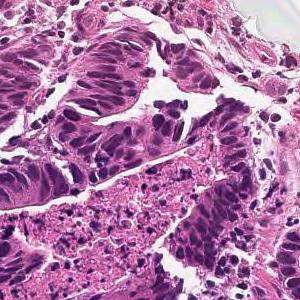
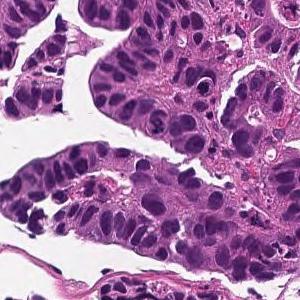
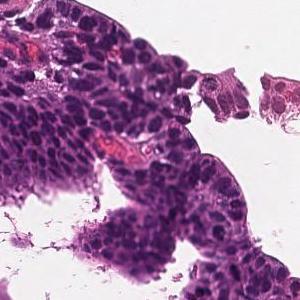
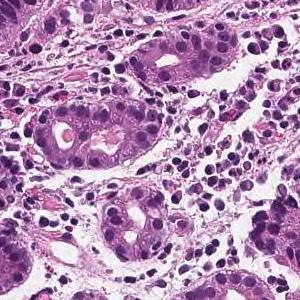
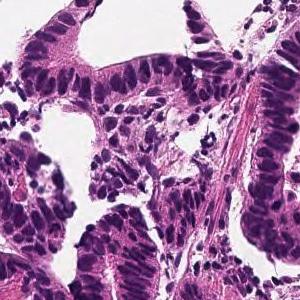
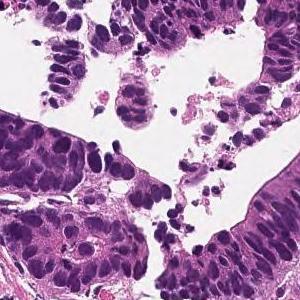
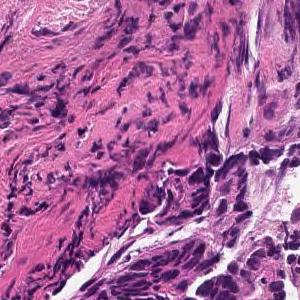
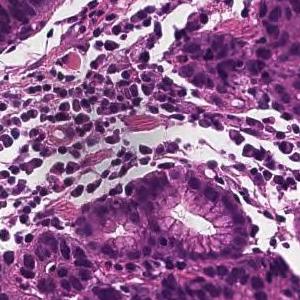
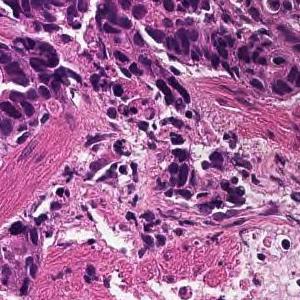
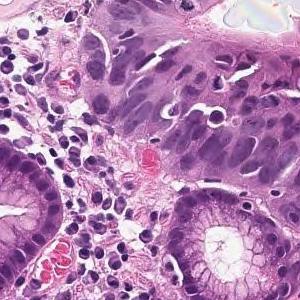
10 tiles from the same stomach biopsy slide, hematoxylin and eosin stain, scanned at ×20.
Pathology report for the biopsy slide these tiles were cut from. The report and the diagnosis describe the slide as a whole, so these tiles may not show every feature named and may include non-tumor tissue.
From the superficial epithelium to the muscularis mucosae, tumor tissue consisting of medium-sized and irregular glandular ducts infiltrating is observed. Well differentiated tubular adenocarcinoma
